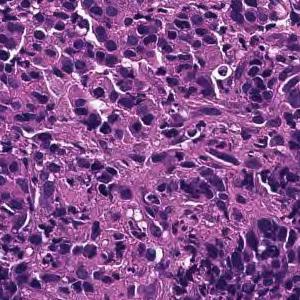
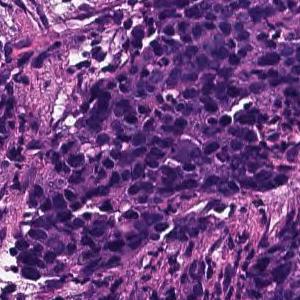
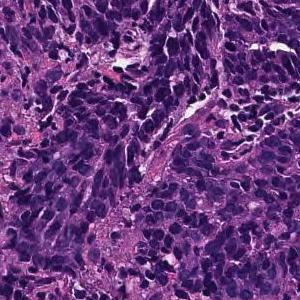
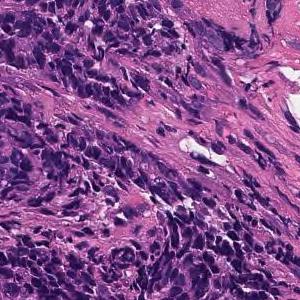
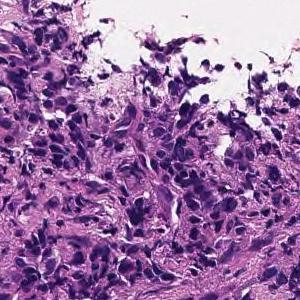
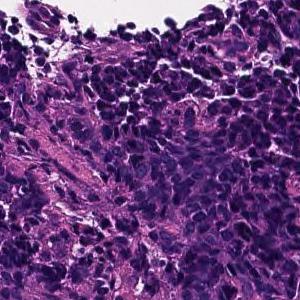
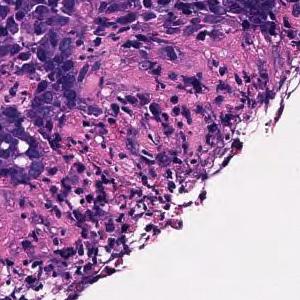
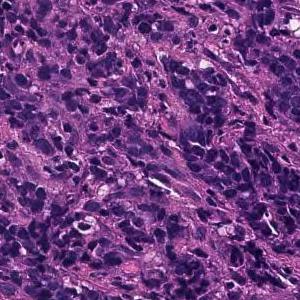
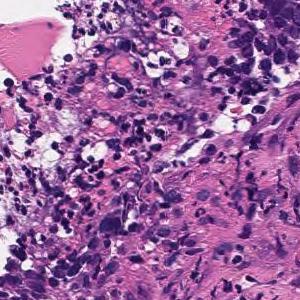
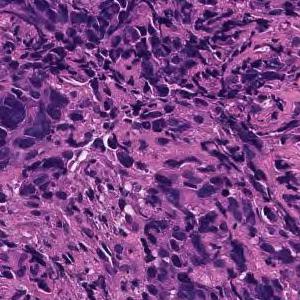
20× magnification · 10 tiles from the same stomach biopsy slide.
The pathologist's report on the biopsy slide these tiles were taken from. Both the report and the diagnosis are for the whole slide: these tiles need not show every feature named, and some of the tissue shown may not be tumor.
Tumor tissue consisting of cord-like or small, irregular glandular ducts fused and infiltrated is observed in the superficial epithelium. Poorly differentiated adenocarcinoma, non-solid type
"Non-solid type" is a category of the Japanese Classification of Gastric Carcinoma.
